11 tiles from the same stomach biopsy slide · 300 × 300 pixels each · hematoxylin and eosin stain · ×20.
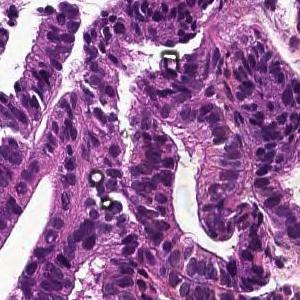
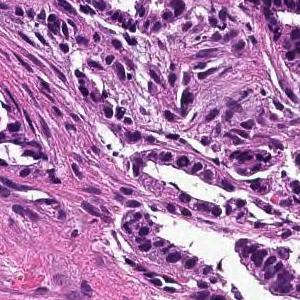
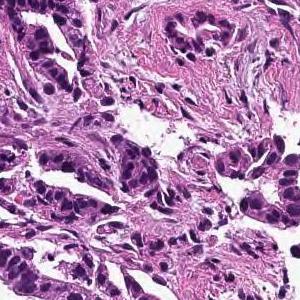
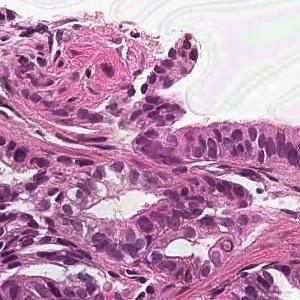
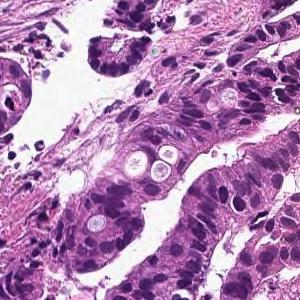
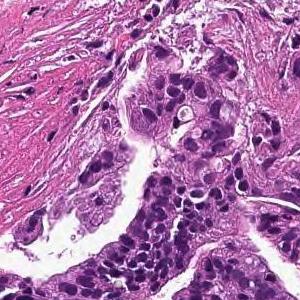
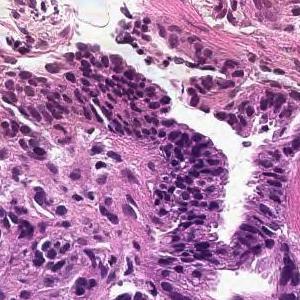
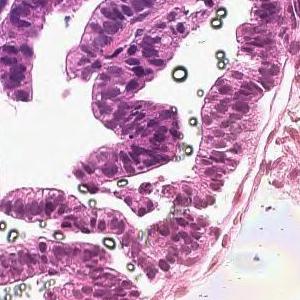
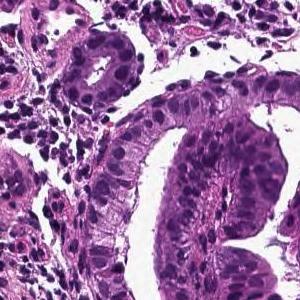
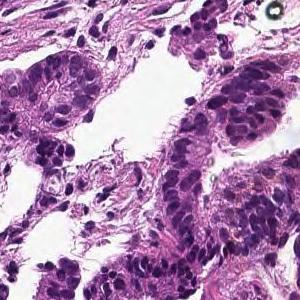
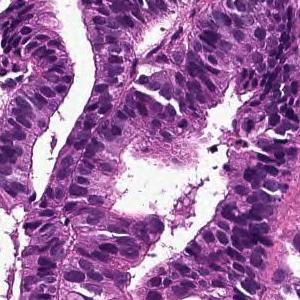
The pathologist's report on the biopsy slide these tiles were taken from. Both the report and the diagnosis are for the whole slide: these tiles need not show every feature named, and some of the tissue shown may not be tumor.
Tumor cells are large, highly columnar, large club-shaped nuclei, and are associated with chromatin aggregation. Papillary adenocarcinoma.
